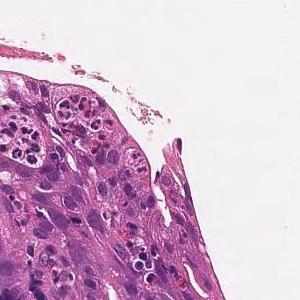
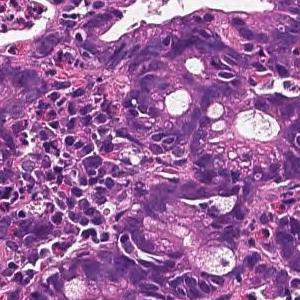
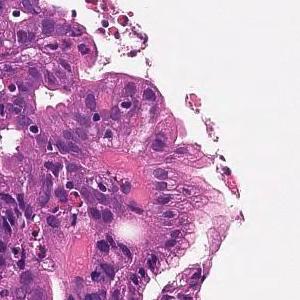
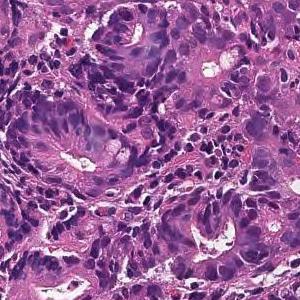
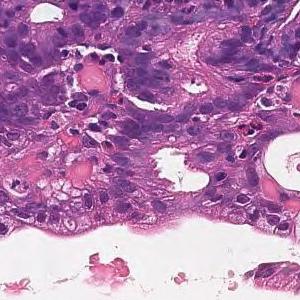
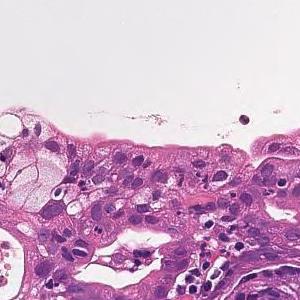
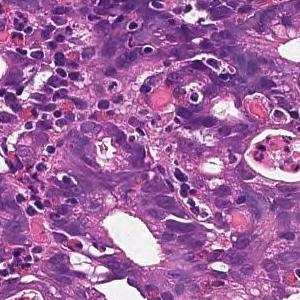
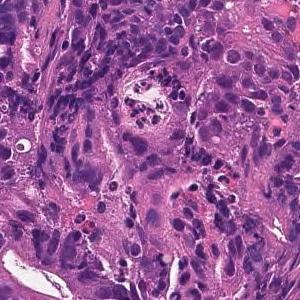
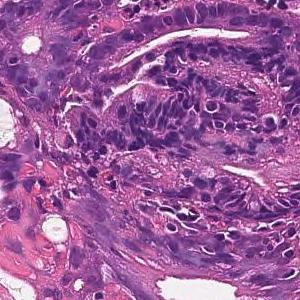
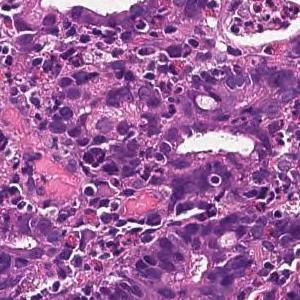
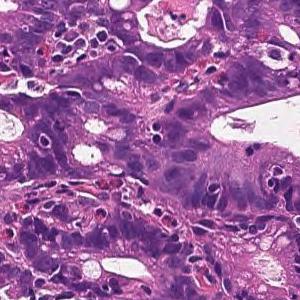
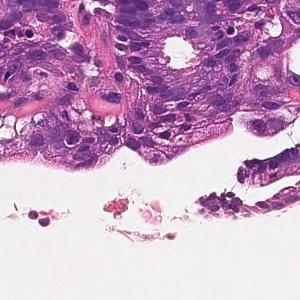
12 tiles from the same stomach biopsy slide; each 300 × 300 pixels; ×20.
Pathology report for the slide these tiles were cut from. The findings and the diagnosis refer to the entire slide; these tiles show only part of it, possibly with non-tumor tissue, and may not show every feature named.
From the superficial epithelium to the muscularis mucosae, tumor tissue consisting of medium-sized and irregular glandular ducts infiltrating is observed. Well differentiated tubular adenocarcinoma
